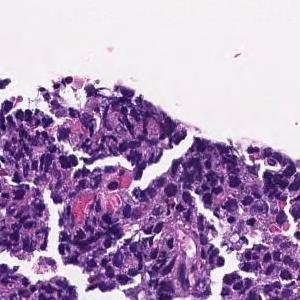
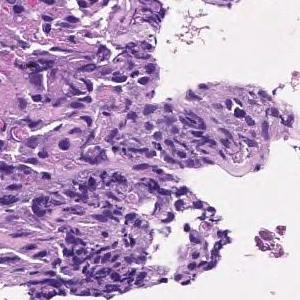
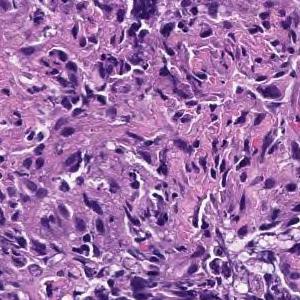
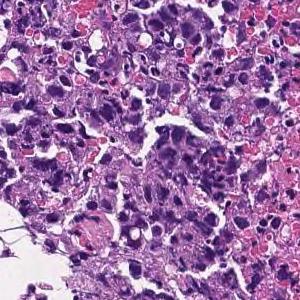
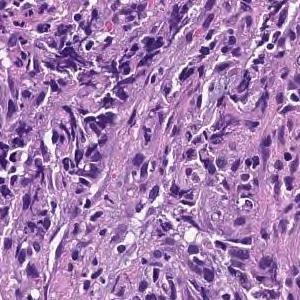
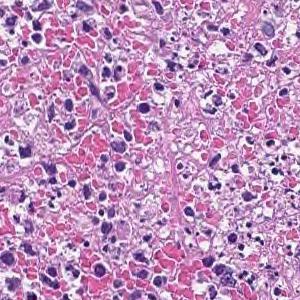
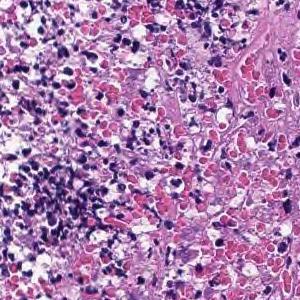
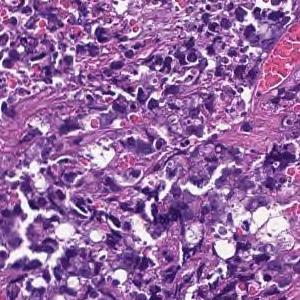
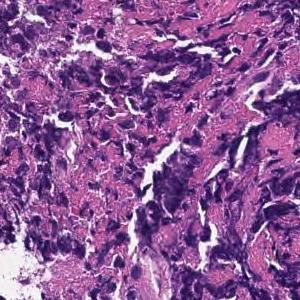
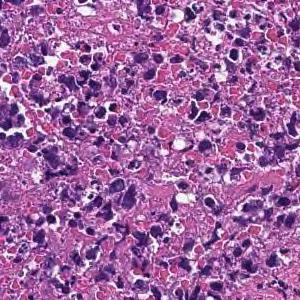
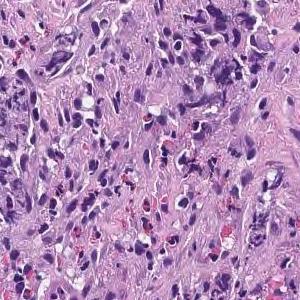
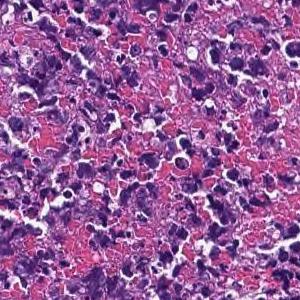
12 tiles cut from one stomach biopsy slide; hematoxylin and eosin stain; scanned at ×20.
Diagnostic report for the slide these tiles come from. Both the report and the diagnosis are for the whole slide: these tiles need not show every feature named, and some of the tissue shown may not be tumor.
Most are composed of coagulative necrotic tissue, but some show a large sheet-like shape, and some show tumor tissue infiltrating with a small cord-like structure. Poorly differentiated adenocarcinoma, solid-type
Histological subtype: Poorly differentiated adenocarcinoma, solid type (Japanese Classification of Gastric Carcinoma). The WHO 2019 equivalent is tubular adenocarcinoma, poorly differentiated.
